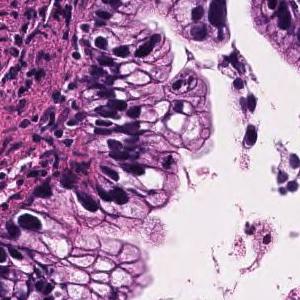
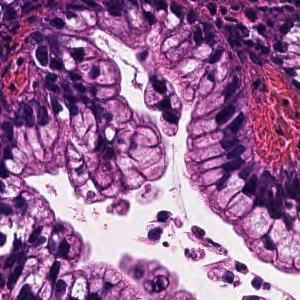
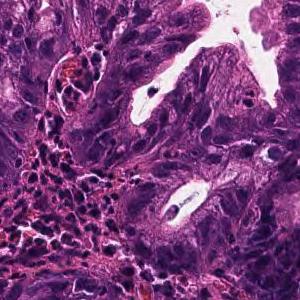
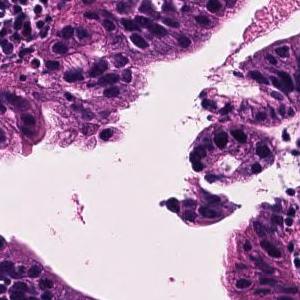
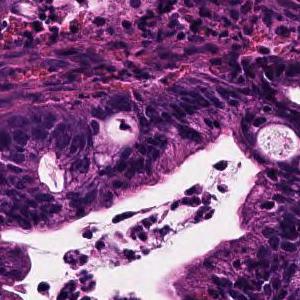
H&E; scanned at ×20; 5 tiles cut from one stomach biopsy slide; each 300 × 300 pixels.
Pathology report for the biopsy slide these tiles were cut from. The report and the diagnosis cover the entire slide, so not every feature they name need be visible here, and some tissue shown may not be tumor.
Tumor cells are large, highly columnar, large club-shaped nuclei, and are associated with chromatin aggregation. Papillary adenocarcinoma.
